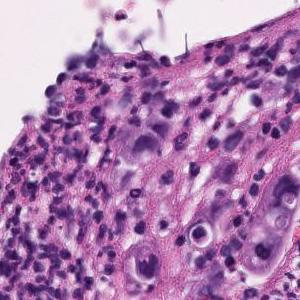
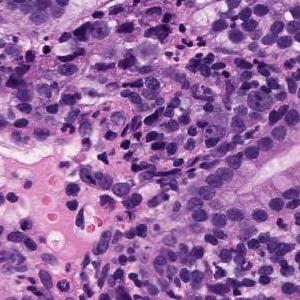
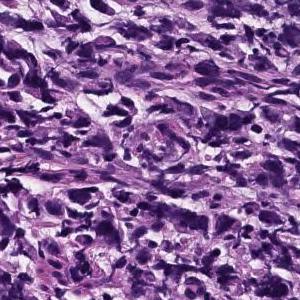
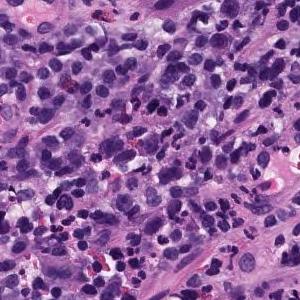
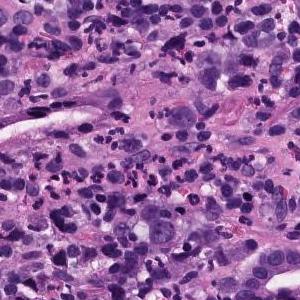
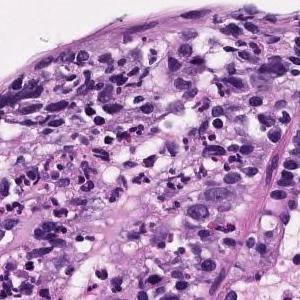
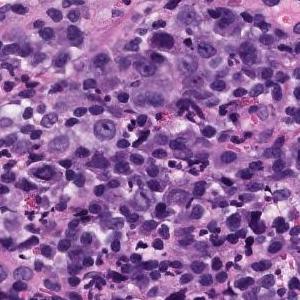
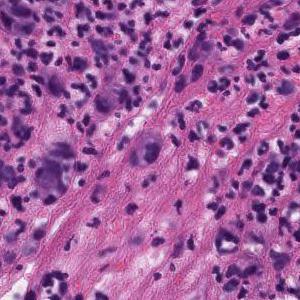
8 tiles cut from one stomach biopsy slide · 300 × 300 pixels each · hematoxylin and eosin stain.
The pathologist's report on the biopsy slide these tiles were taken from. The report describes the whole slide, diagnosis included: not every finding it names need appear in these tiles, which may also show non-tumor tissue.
Poorly differentiated, solid adenocarcinoma (poorly differentiated adenocarcinoma, solid type) with tumor tissue diffusely infiltrated with atypical epithelial cells
Tumor subtype: poorly differentiated adenocarcinoma, solid type, a category of the Japanese Classification of Gastric Carcinoma; in the WHO 2019 classification it is tubular adenocarcinoma, poorly differentiated.
